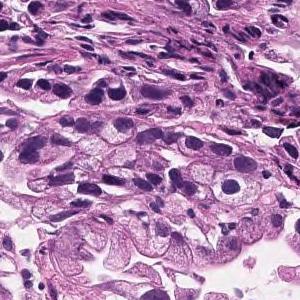
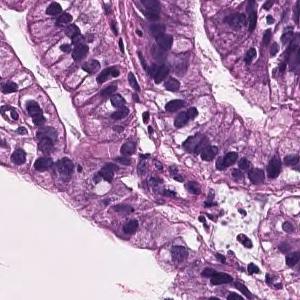
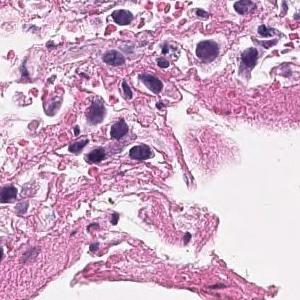
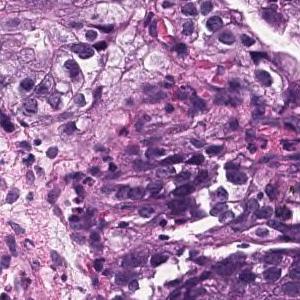
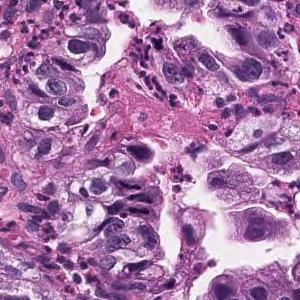
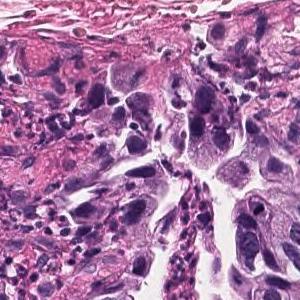
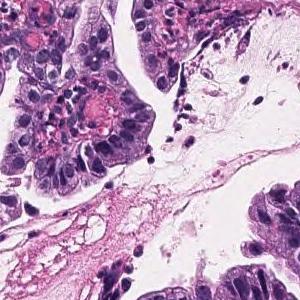
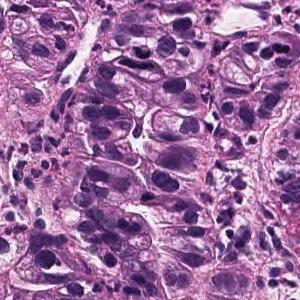
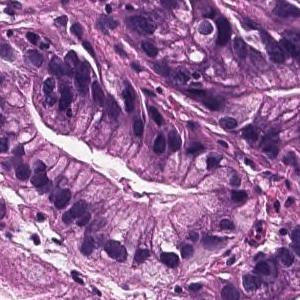
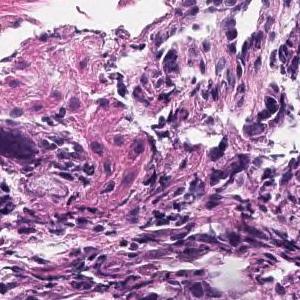
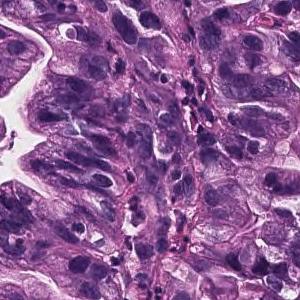
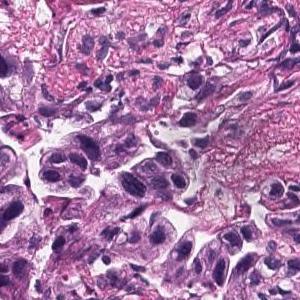
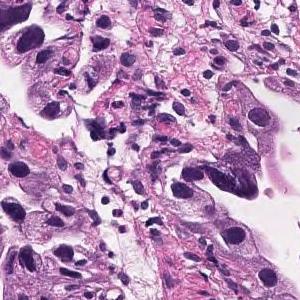
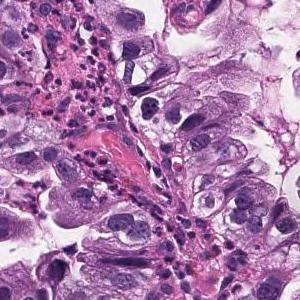
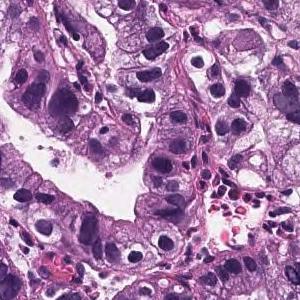
15 tiles cut from one stomach biopsy slide, each 300 × 300 pixels, 20× magnification.
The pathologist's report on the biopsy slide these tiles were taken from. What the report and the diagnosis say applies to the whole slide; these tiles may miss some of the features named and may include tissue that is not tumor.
Tumor cells are large, highly columnar, large club-shaped nuclei, and are associated with chromatin aggregation. Papillary adenocarcinoma.
